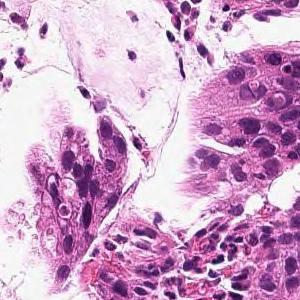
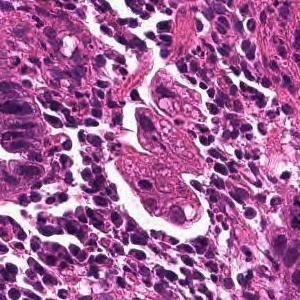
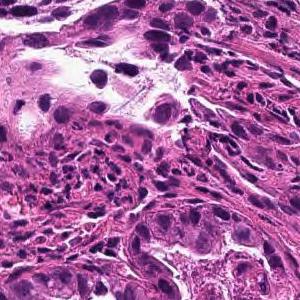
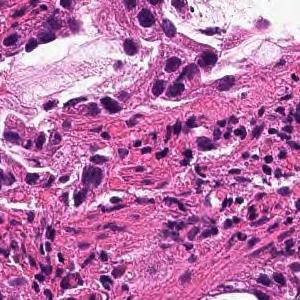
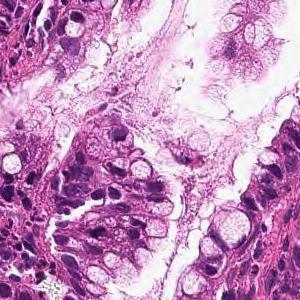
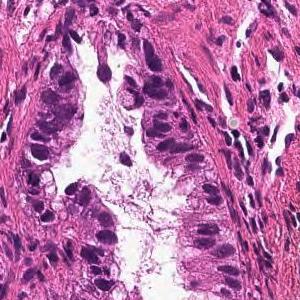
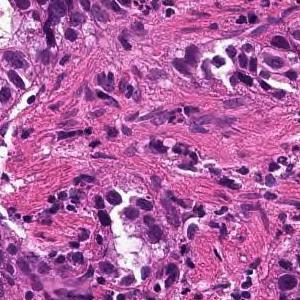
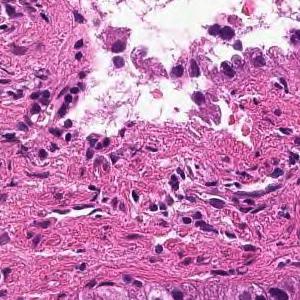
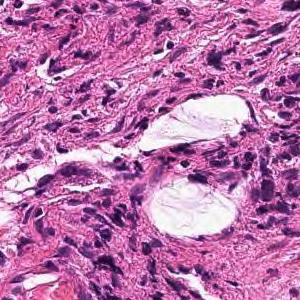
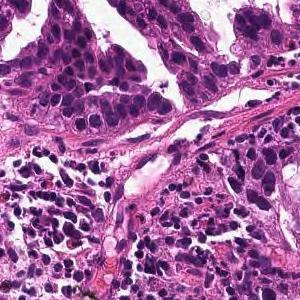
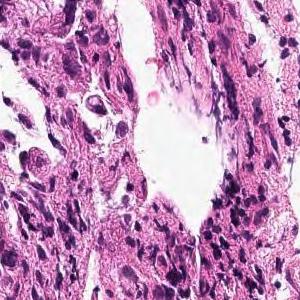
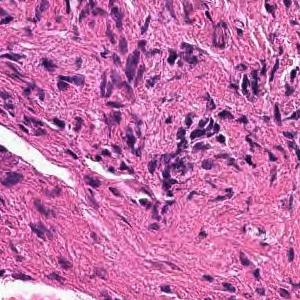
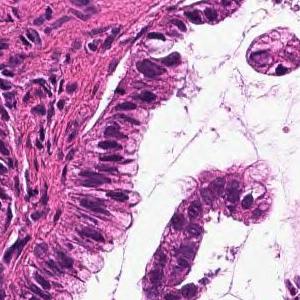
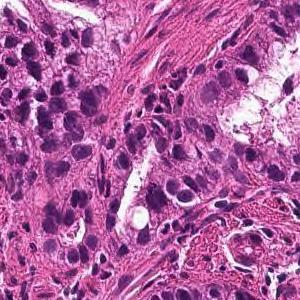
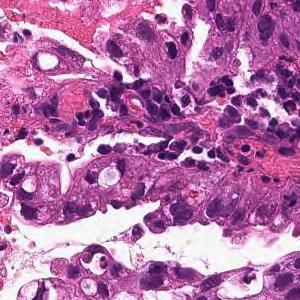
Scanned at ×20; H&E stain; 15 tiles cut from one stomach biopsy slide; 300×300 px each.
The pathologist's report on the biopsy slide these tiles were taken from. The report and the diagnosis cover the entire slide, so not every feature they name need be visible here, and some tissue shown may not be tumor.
From the superficial epithelium to the muscularis mucosae, tumor tissue infiltrating by forming medium-sized irregular gland ducts is observed. Well differentiated tubular adenocarcinoma
